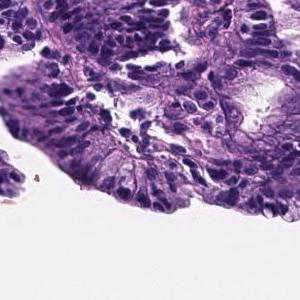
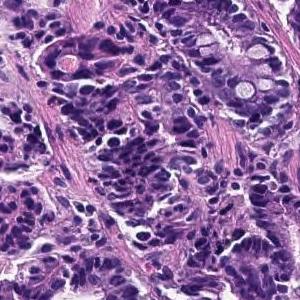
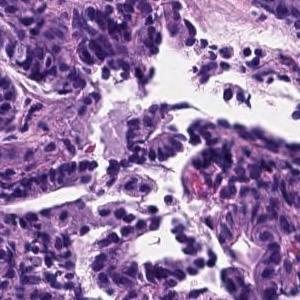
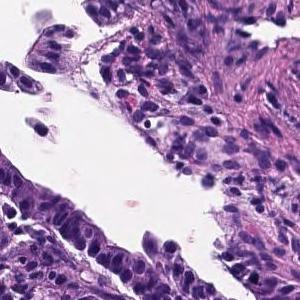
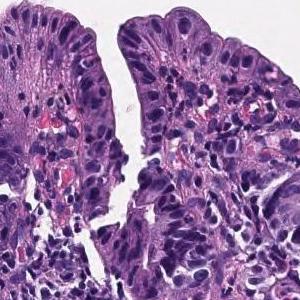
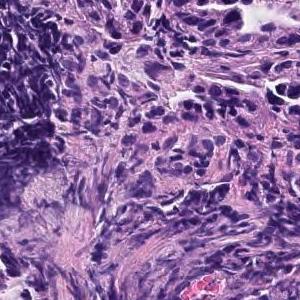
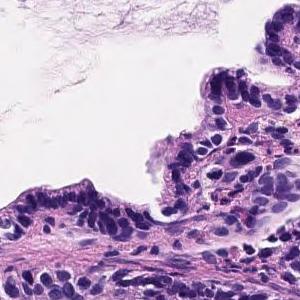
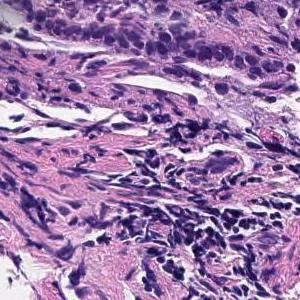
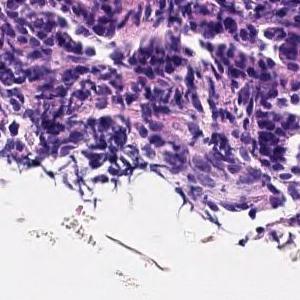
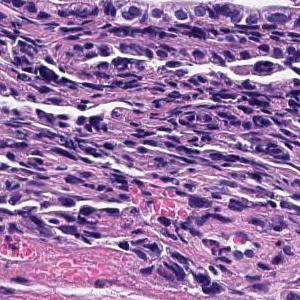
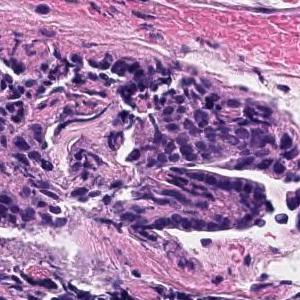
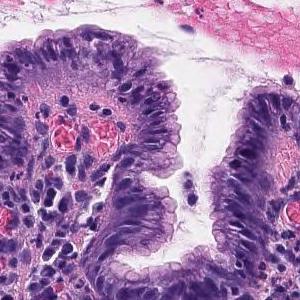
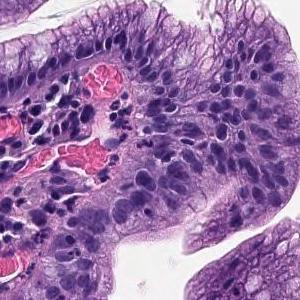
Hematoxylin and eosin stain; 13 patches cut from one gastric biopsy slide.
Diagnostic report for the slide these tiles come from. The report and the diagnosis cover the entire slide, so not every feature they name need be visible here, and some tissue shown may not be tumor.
The superficial tumors shows large papillary structures or large and small ducts and infiltrates. Papillary adenocarcinoma.
